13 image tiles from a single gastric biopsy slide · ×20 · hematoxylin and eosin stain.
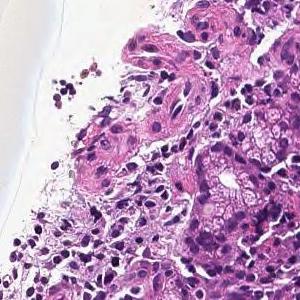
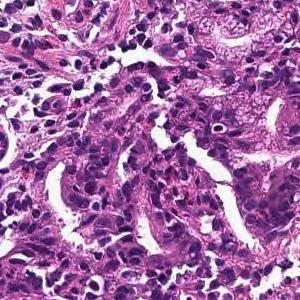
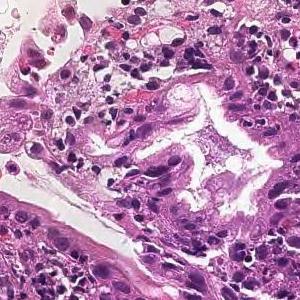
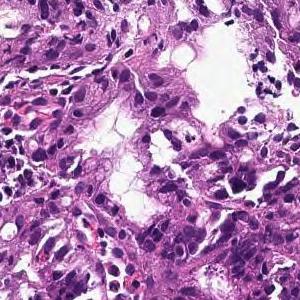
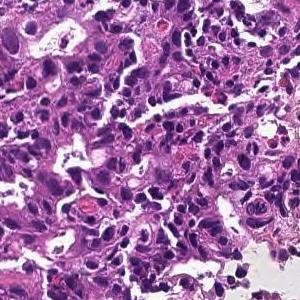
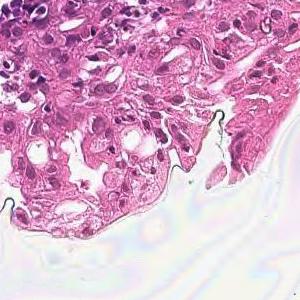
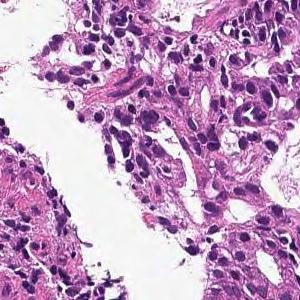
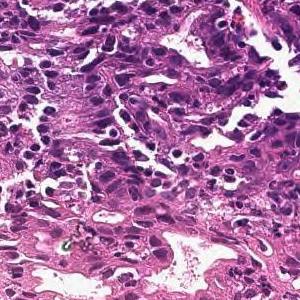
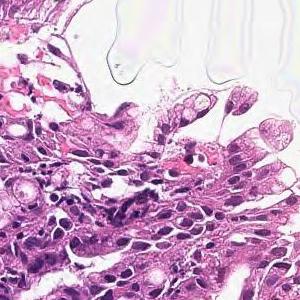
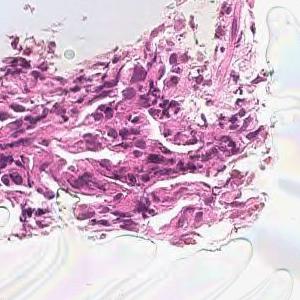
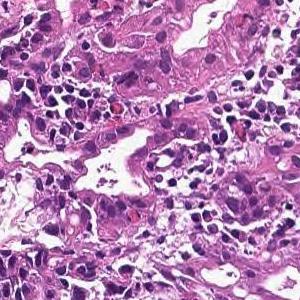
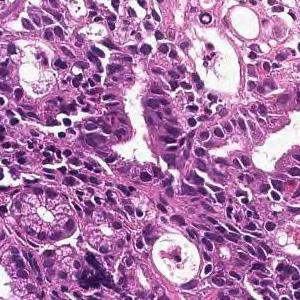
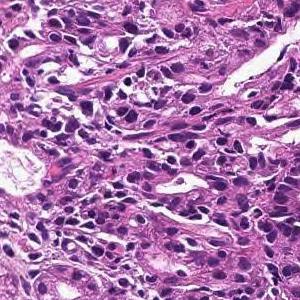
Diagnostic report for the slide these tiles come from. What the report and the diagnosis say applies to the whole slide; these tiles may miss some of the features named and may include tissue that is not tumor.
In the superficial epithelium, tumor tissue that invades by forming medium-sized to small, irregular ducts is observed. moderately differentiated tubular adenocarcinoma.
